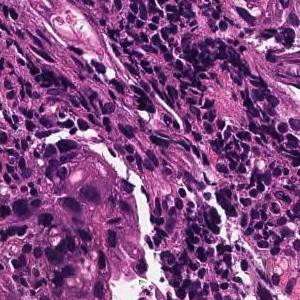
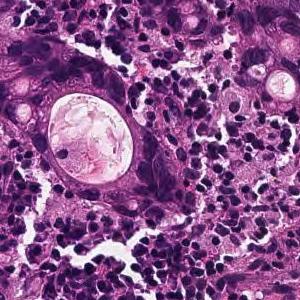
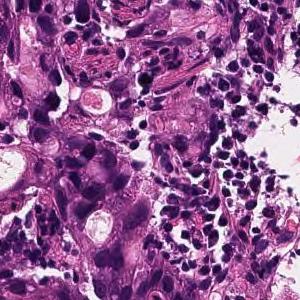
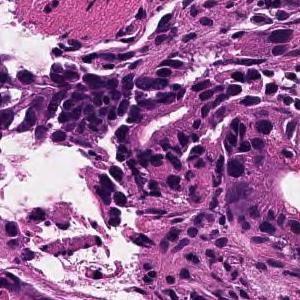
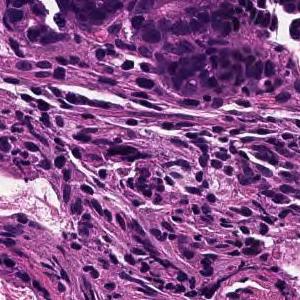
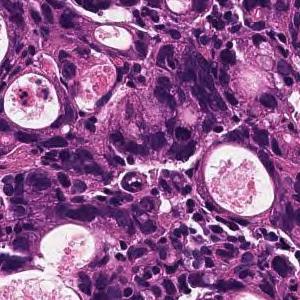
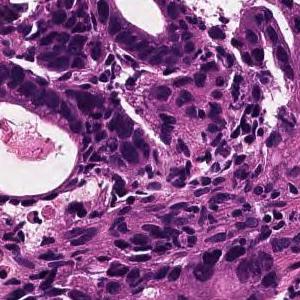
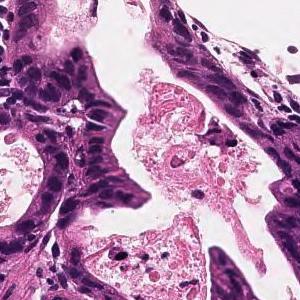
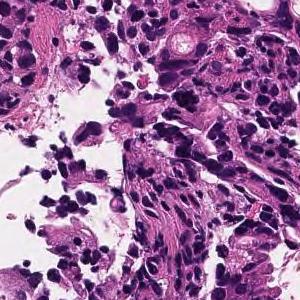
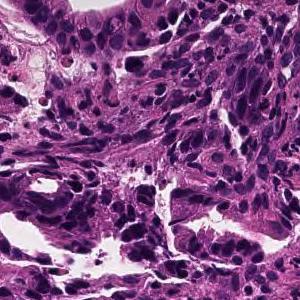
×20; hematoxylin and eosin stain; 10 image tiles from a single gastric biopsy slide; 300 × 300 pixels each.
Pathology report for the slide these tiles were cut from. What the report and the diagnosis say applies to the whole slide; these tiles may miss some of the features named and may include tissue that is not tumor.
In the superficial epithelium, tumor tissue that invades by forming medium-sized to small, irregular ducts is observed. moderately differentiated tubular adenocarcinoma.
